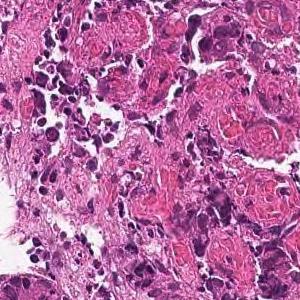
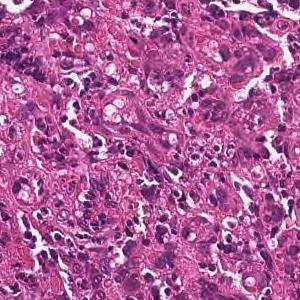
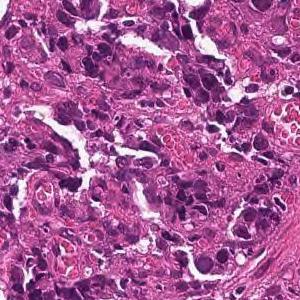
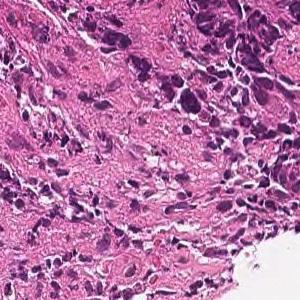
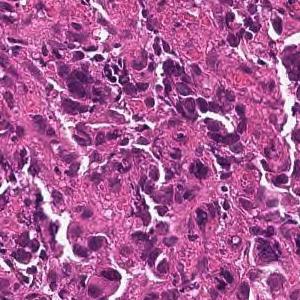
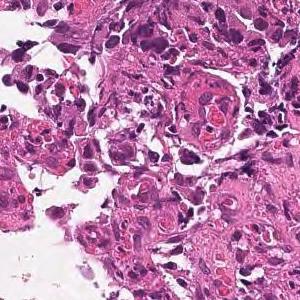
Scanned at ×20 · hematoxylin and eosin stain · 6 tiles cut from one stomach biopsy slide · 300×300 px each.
Report on the slide these tiles come from. Both the report and the diagnosis are for the whole slide: these tiles need not show every feature named, and some of the tissue shown may not be tumor.
Tumor tissue consisting of medium-sized, cord-like or irregular glandular infiltration is observed in the superficial epithelium. Poorly differentiated adenocarcinoma, non-solid type or moderately differentiated tubular adenocarcinoma
Subtype: Moderately to poorly differentiated adenocarcinoma.
"Non-solid type" is a category of the Japanese Classification of Gastric Carcinoma.
